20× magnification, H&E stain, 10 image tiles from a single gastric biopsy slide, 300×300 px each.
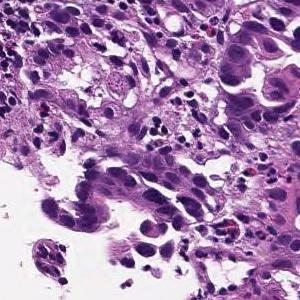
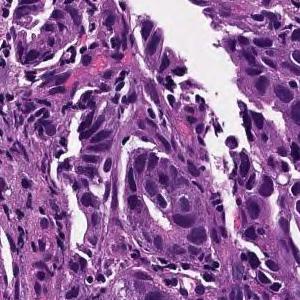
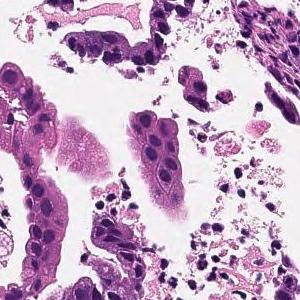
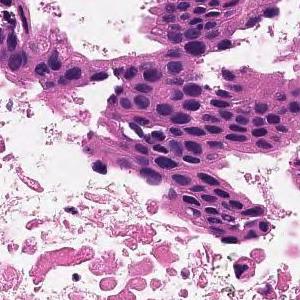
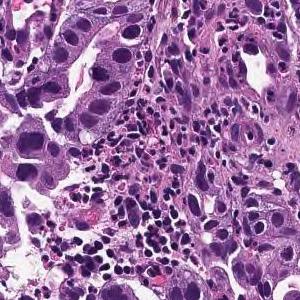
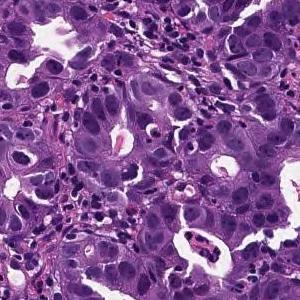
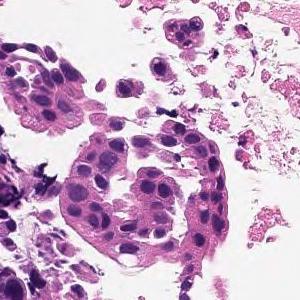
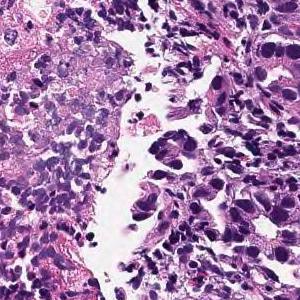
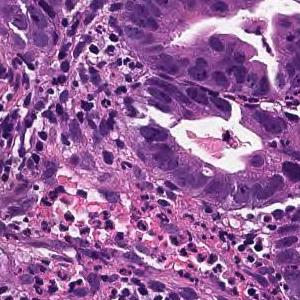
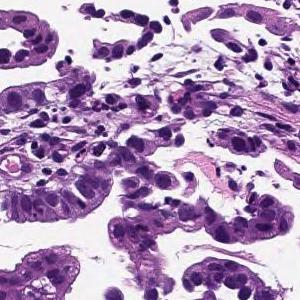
Diagnostic report for the slide these tiles come from. The report and the diagnosis describe the slide as a whole, so these tiles may not show every feature named and may include non-tumor tissue.
In the superficial epithelium, tumor tissue that invades by forming medium-sized to small, irregular ducts is observed. moderately differentiated tubular adenocarcinoma.
